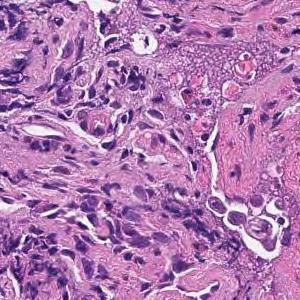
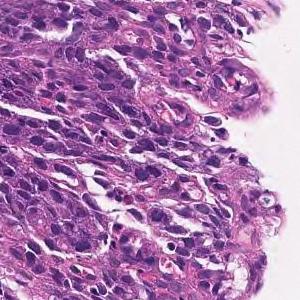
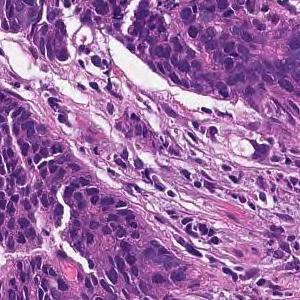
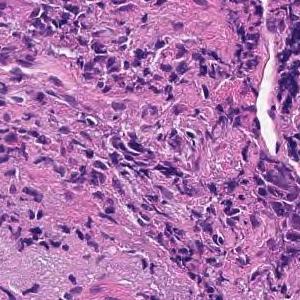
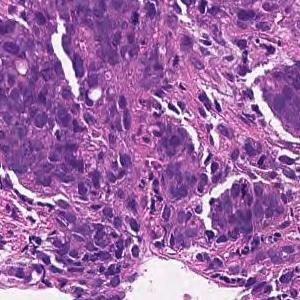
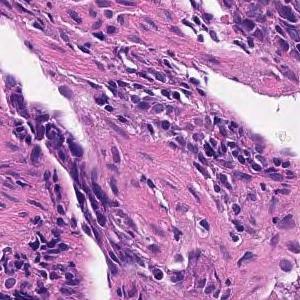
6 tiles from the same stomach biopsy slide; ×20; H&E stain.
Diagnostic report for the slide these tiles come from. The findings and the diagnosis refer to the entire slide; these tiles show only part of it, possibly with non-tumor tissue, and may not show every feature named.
Tumor tissue consisting of cord-like or small, irregular glandular ducts fused and infiltrated is observed in the superficial epithelium. Poorly differentiated adenocarcinoma, non-solid type
The non-solid type named here is a Japanese Classification of Gastric Carcinoma category.
